16 tiles from the same stomach biopsy slide; 300×300 px each; H&E stain; 20× magnification.
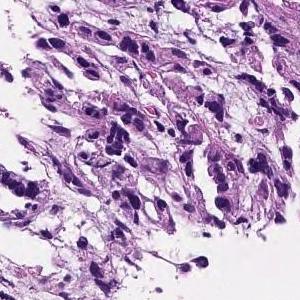
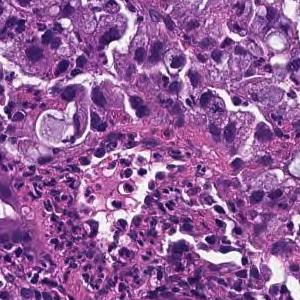
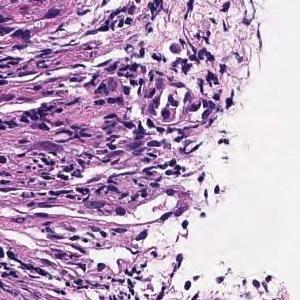
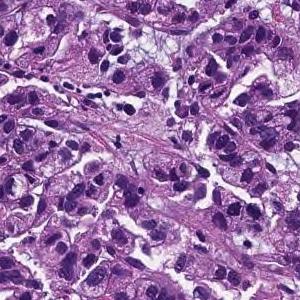
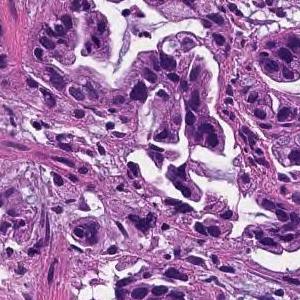
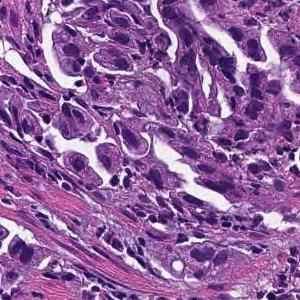
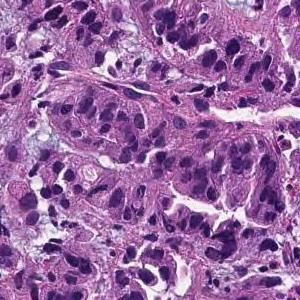
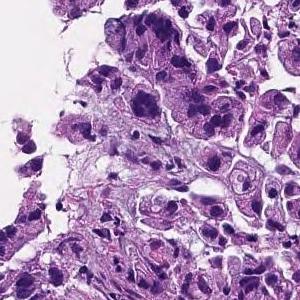
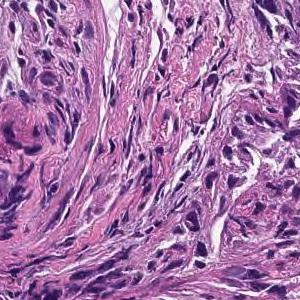
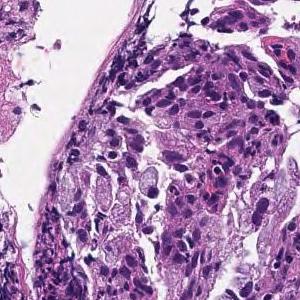
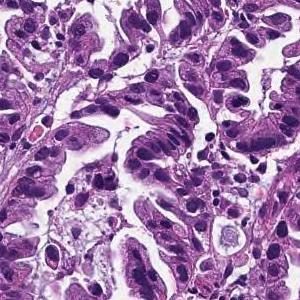
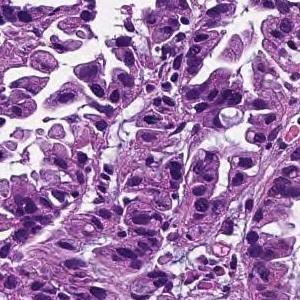
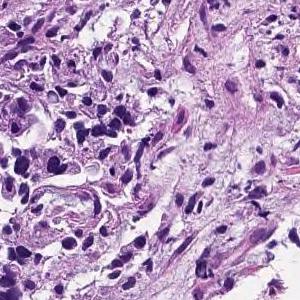
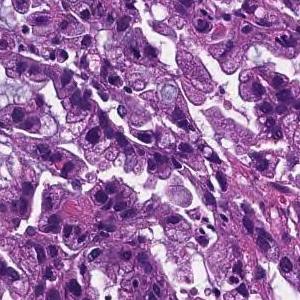
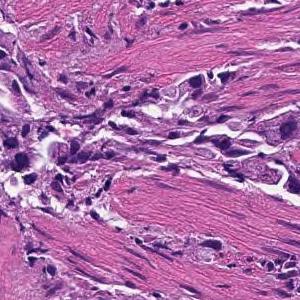
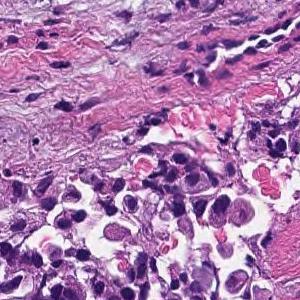
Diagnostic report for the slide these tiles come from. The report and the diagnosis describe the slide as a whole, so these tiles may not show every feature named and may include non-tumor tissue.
Tumor tissue consisting of medium-sized, cord-like or irregular glandular infiltration is observed in the superficial epithelium. Poorly differentiated adenocarcinoma, non-solid type or moderately differentiated tubular adenocarcinoma
Classified as moderately to poorly differentiated adenocarcinoma.
"Non-solid type" is a category of the Japanese Classification of Gastric Carcinoma.
